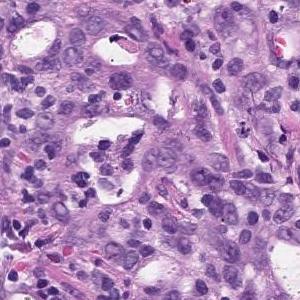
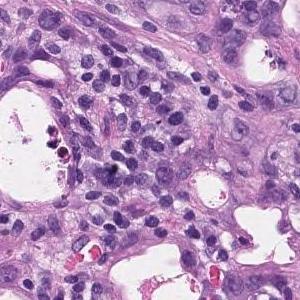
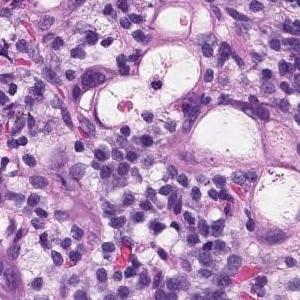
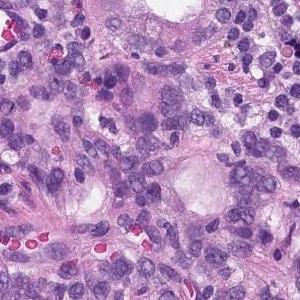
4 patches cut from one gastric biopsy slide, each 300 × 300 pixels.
Pathology report for the slide these tiles were cut from. The report and the diagnosis describe the slide as a whole, so these tiles may not show every feature named and may include non-tumor tissue.
In the superficial epithelium, tumor tissue that invades by forming medium-sized to small, irregular ducts is observed. Moderately differentiated adenocarcinoma.
Subtype: Moderately differentiated tubular adenocarcinoma.
